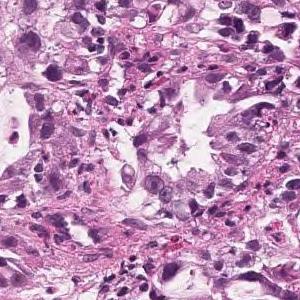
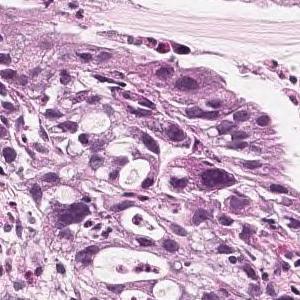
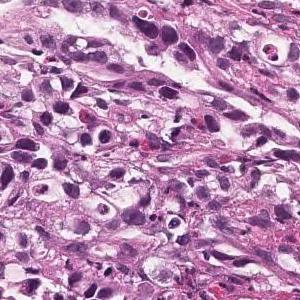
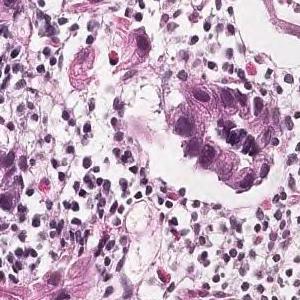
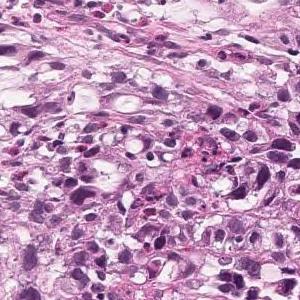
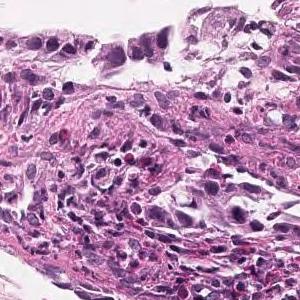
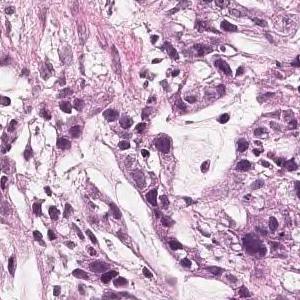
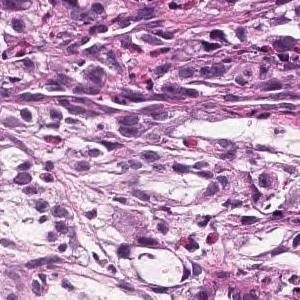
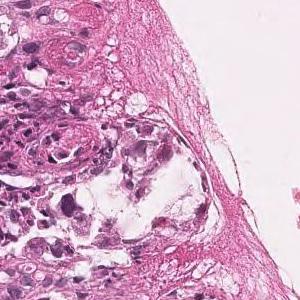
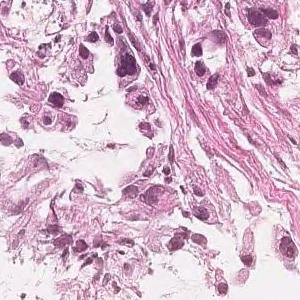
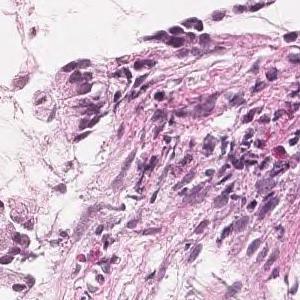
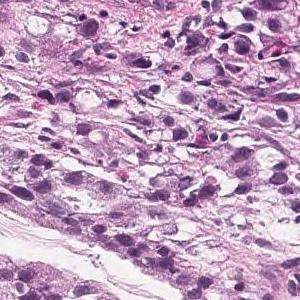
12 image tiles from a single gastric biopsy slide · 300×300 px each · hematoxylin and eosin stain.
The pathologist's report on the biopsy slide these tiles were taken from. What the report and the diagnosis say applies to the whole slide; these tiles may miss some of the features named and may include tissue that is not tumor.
Tumor tissue consisting of medium-sized, cord-like or irregular glandular infiltration is observed in the superficial epithelium. Poorly differentiated adenocarcinoma, non-solid type or moderately differentiated tubular adenocarcinoma
The non-solid type named here is a Japanese Classification of Gastric Carcinoma category.
